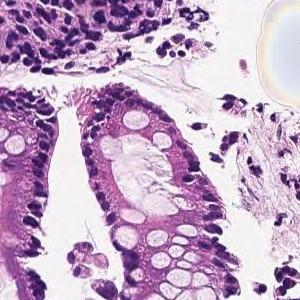
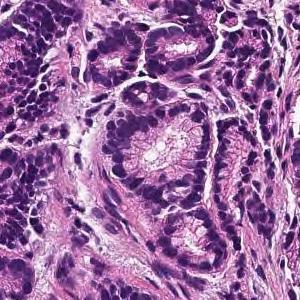
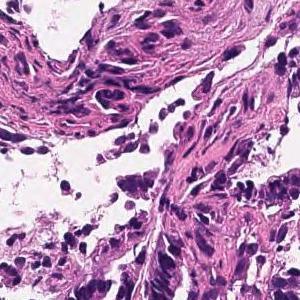
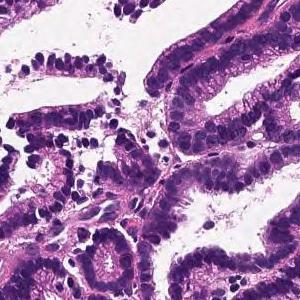
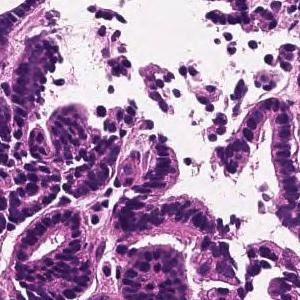
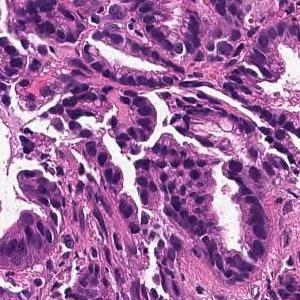
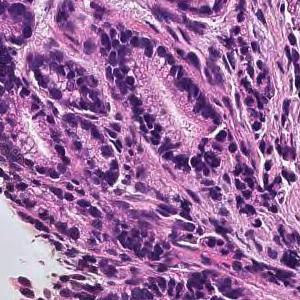
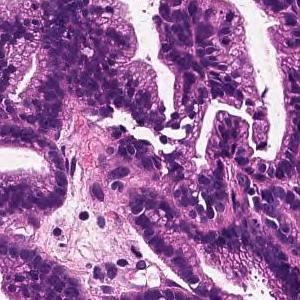
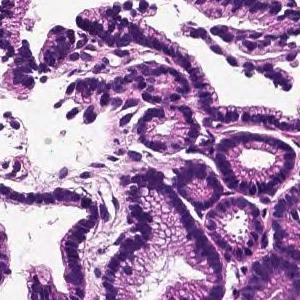
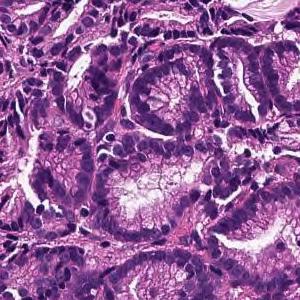
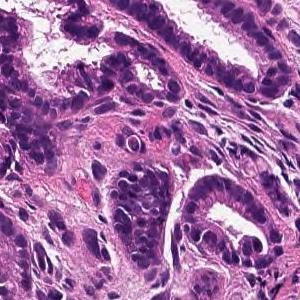
20× magnification; 11 tiles cut from one stomach biopsy slide.
Pathology report for the slide these tiles were cut from. The report and the diagnosis describe the slide as a whole, so these tiles may not show every feature named and may include non-tumor tissue.
On the superficial epithelium, tumor tissue consisting of large irregular glandular ducts partially fused and infiltrated is observed. Well to moderately differentiated tubular adenocarcinoma (well differentiated tubular adenocarcinoma, moderately differentiated tubular adenocarcinoma)
Histological subtype: Well to moderately differentiated tubular adenocarcinoma.
